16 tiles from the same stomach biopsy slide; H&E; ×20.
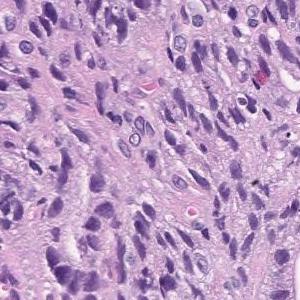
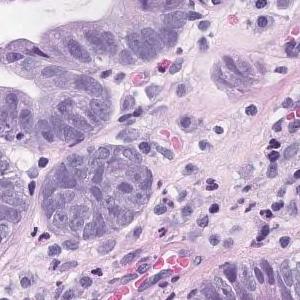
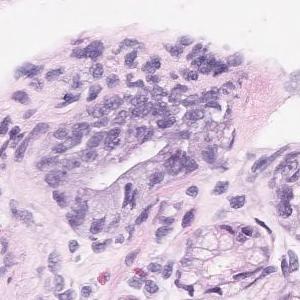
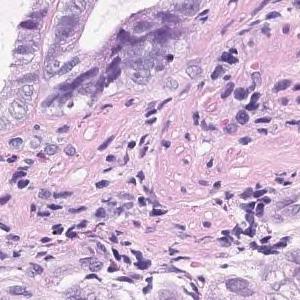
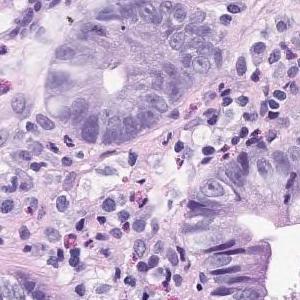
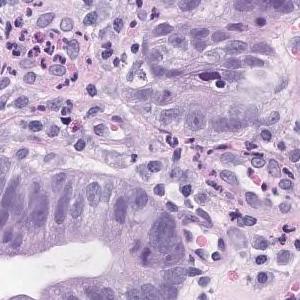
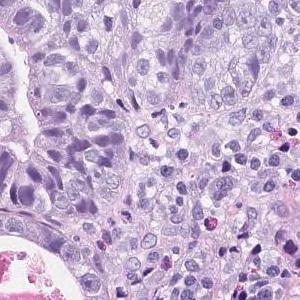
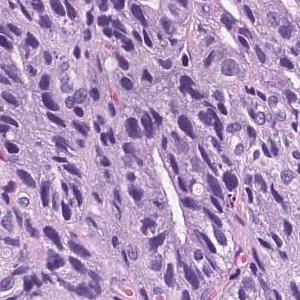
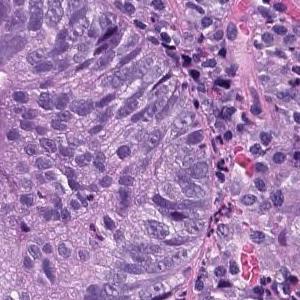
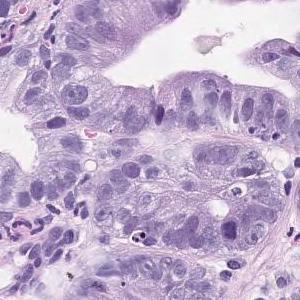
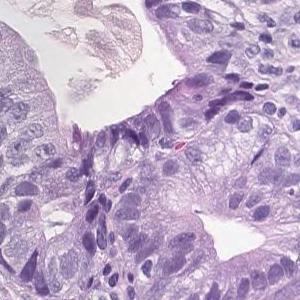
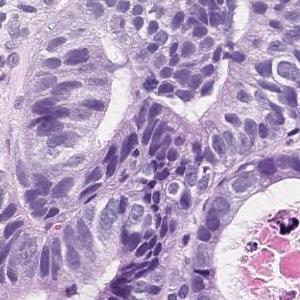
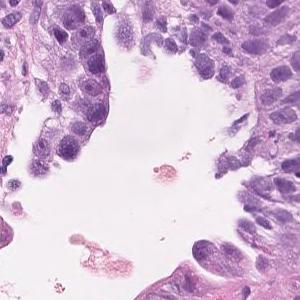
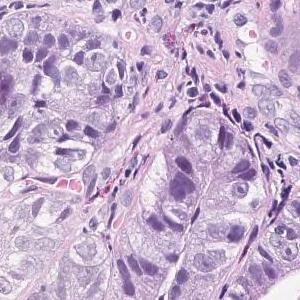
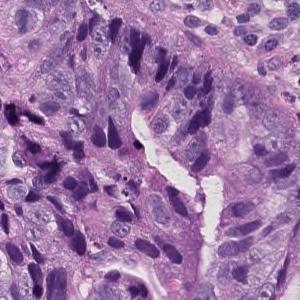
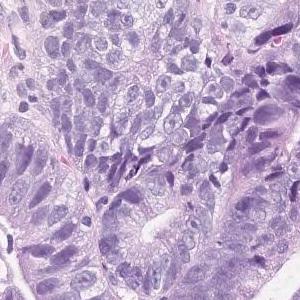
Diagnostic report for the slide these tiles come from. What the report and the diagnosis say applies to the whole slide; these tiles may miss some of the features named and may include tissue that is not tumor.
On the superficial epithelium, tumor tissue consisting of medium to small irregular tubules partially fused and proliferated is observed. moderately differentiated tubular adenocarcinoma
